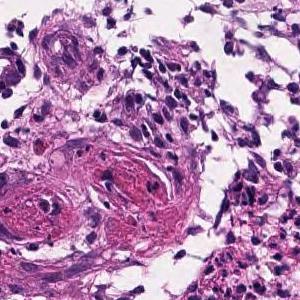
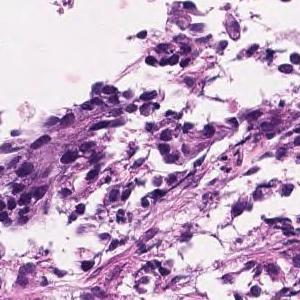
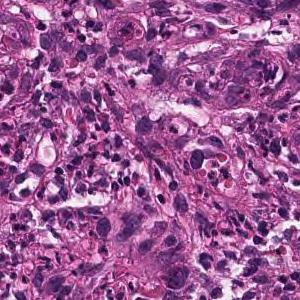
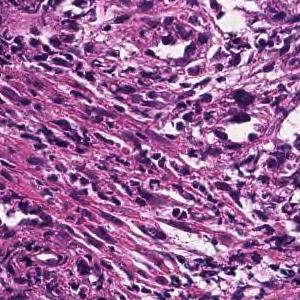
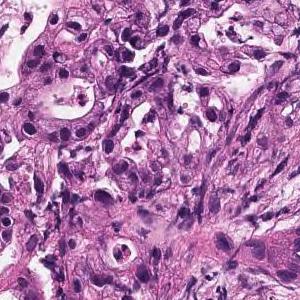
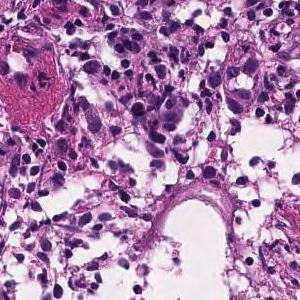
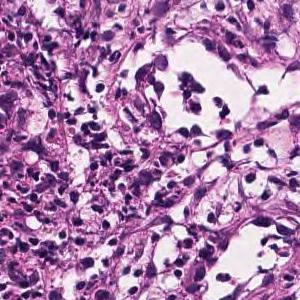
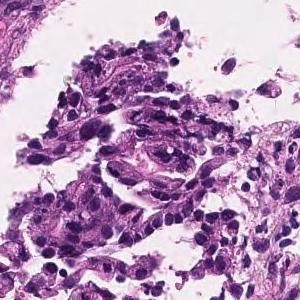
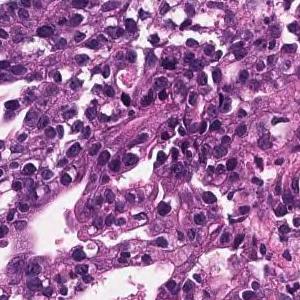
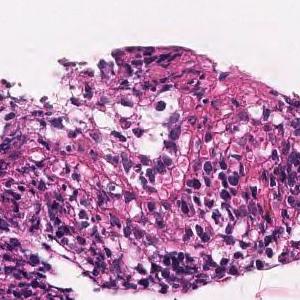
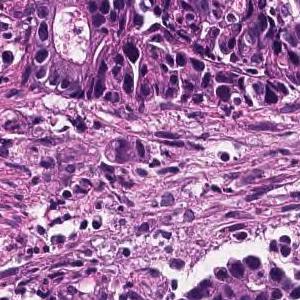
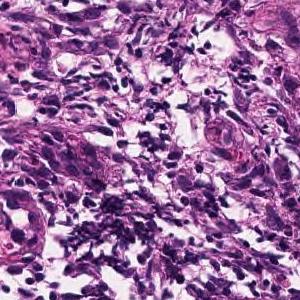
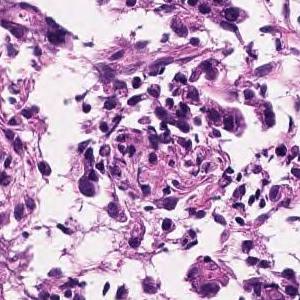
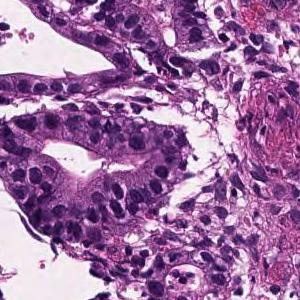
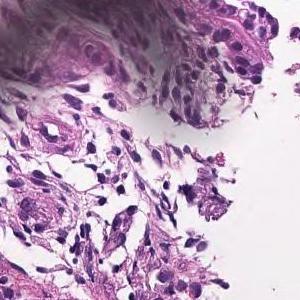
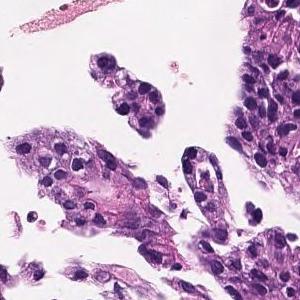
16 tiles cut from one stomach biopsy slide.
Pathology report for the slide these tiles were cut from. The findings and the diagnosis refer to the entire slide; these tiles show only part of it, possibly with non-tumor tissue, and may not show every feature named.
In the superficial epithelium, medium to small, irregular gland ducts are formed, and in some cases, the gland ducts are fused to show solid alveolar lesions and infiltrating tumor tissue is observed. Moderately to poorly differentiated adenocarcinoma.
